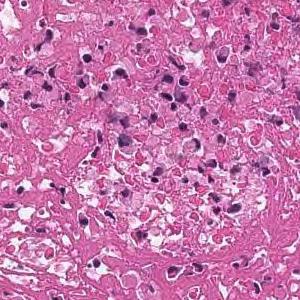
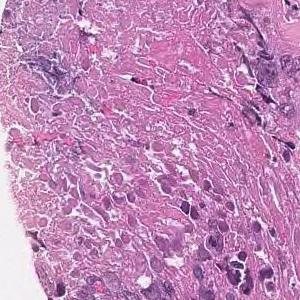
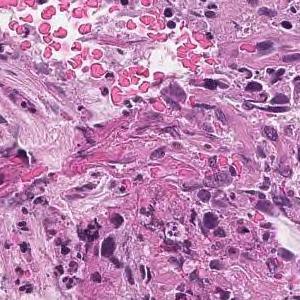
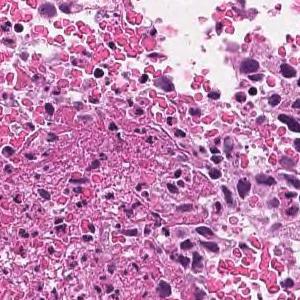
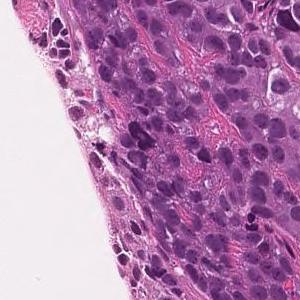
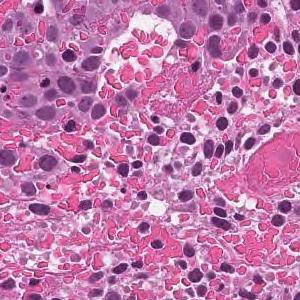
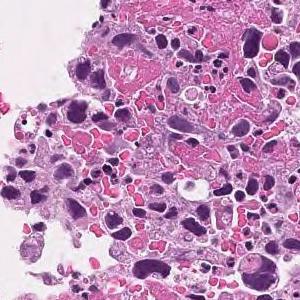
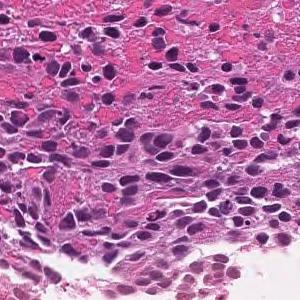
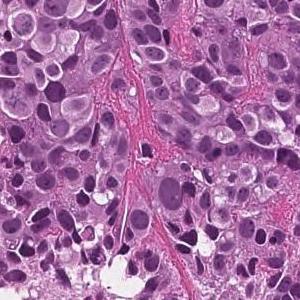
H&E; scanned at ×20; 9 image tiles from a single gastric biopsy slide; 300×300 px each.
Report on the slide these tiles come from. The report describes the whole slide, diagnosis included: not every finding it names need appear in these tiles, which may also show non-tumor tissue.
The superficial epithelium shows a large sheet-like shape, and some tumor tissue infiltrates with small irregular ducts. Poorly differentiated adenocarcinoma, solid-type
Subtype: Poorly differentiated adenocarcinoma, solid type (Japanese Classification of Gastric Carcinoma). The WHO 2019 equivalent is tubular adenocarcinoma, poorly differentiated.
